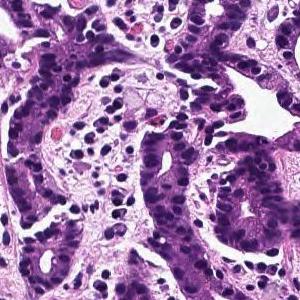
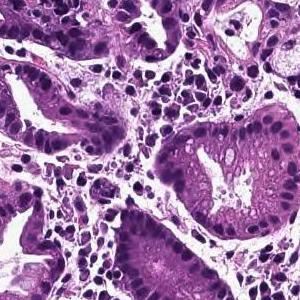
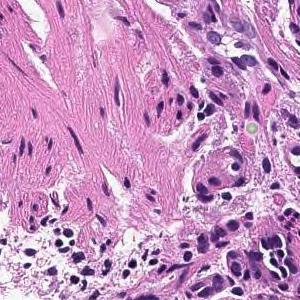
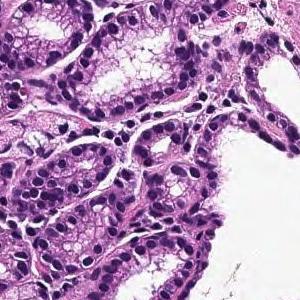
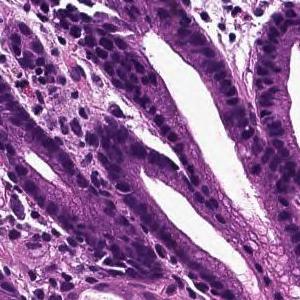
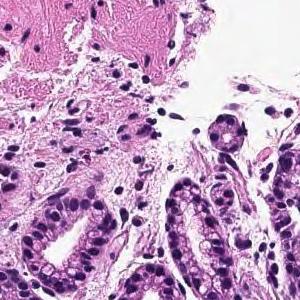
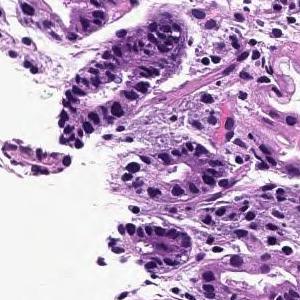
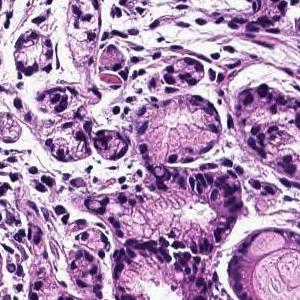
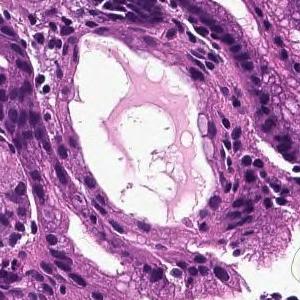
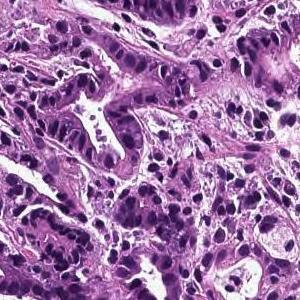
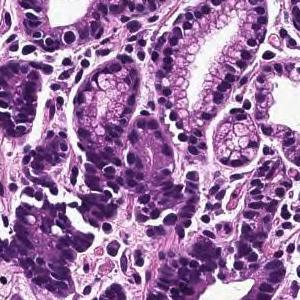
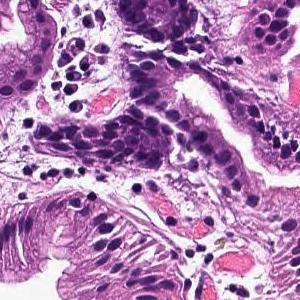
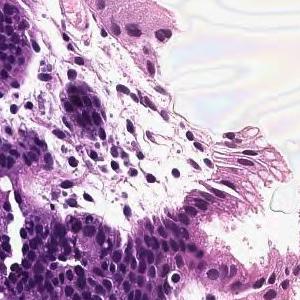
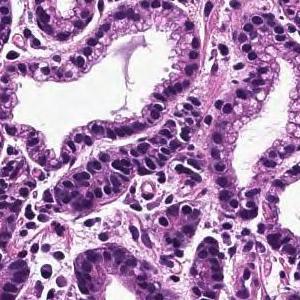
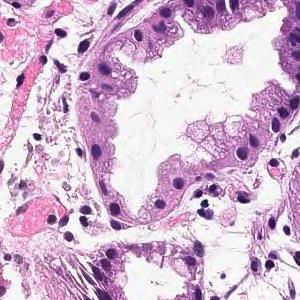
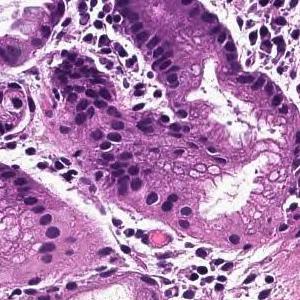
×20, H&E stain, 16 tiles cut from one stomach biopsy slide.
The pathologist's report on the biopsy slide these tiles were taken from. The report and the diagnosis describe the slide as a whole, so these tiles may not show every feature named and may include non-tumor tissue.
In the superficial epithelium, tumor tissue that invades by forming medium-sized to small, irregular ducts is observed. moderately differentiated tubular adenocarcinoma.
